H&E; scanned at ×20; 7 patches cut from one gastric biopsy slide.
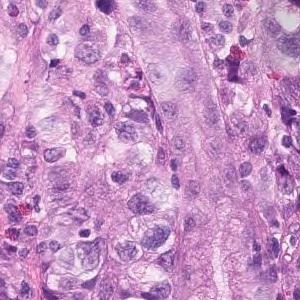
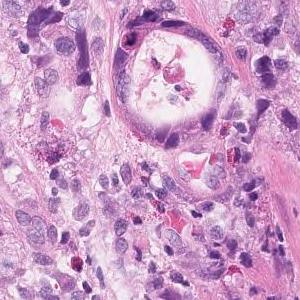
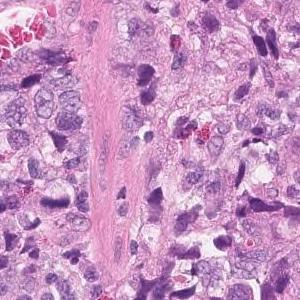
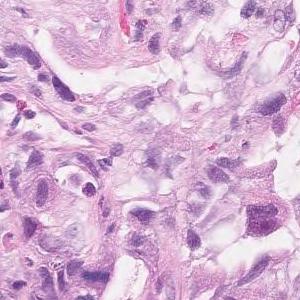
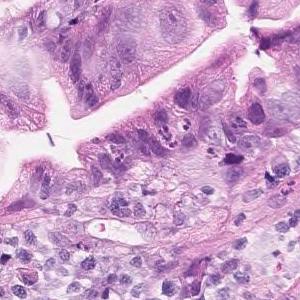
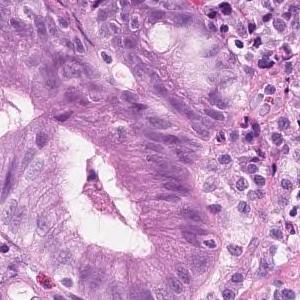
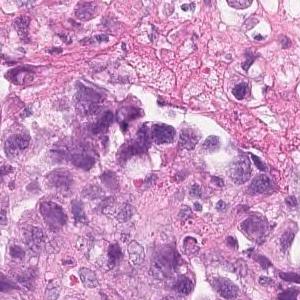
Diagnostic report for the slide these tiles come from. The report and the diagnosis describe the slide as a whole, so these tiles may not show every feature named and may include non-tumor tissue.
Tumor tissue showing dense, fused or diffuse, and infiltrative growth of small atypical ducts is observed. moderately differentiated tubular adenocarcinoma
